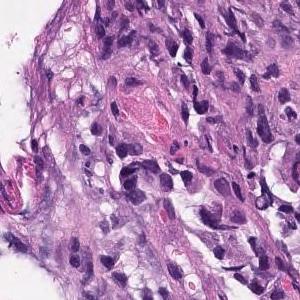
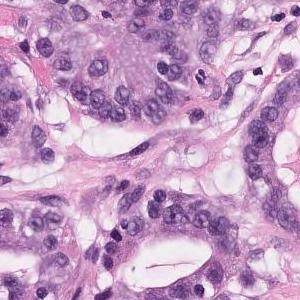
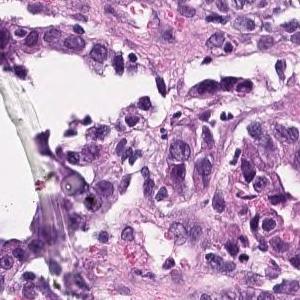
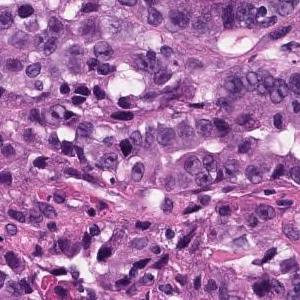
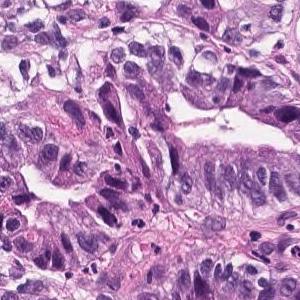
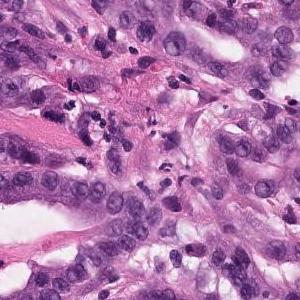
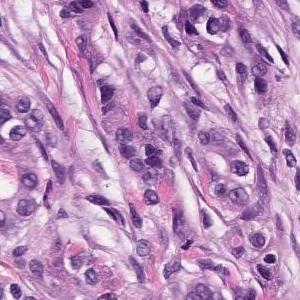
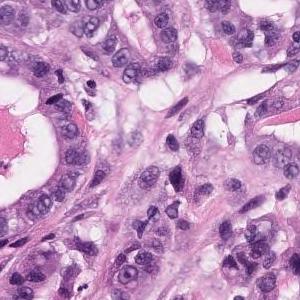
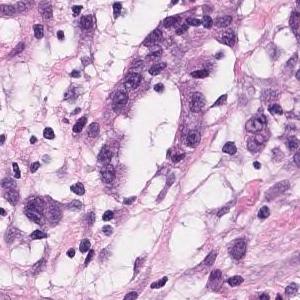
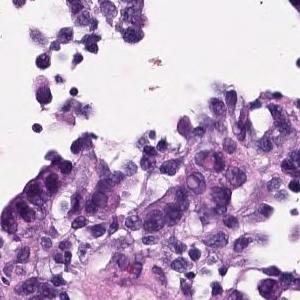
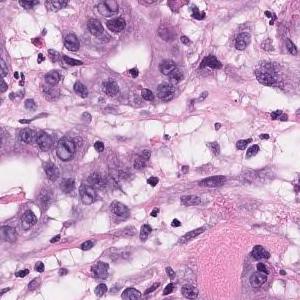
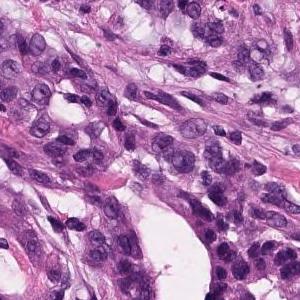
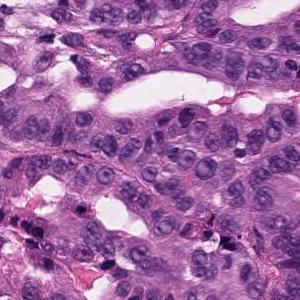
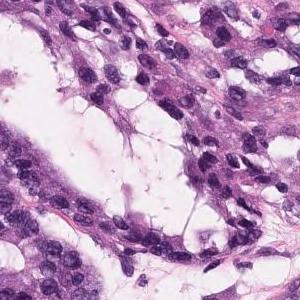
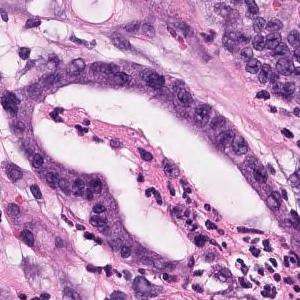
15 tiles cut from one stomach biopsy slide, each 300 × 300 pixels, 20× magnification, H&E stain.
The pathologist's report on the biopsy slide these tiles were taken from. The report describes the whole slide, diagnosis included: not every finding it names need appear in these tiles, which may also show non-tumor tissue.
In the superficial epithelium, tumor tissue that invades by forming medium-sized to small, irregular ducts is observed. Moderately differentiated adenocarcinoma.
Histologic type: Moderately differentiated tubular adenocarcinoma.
